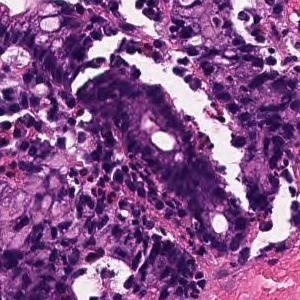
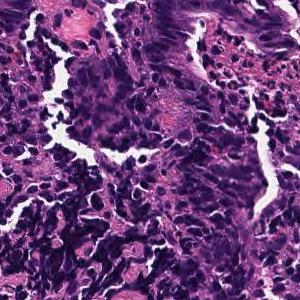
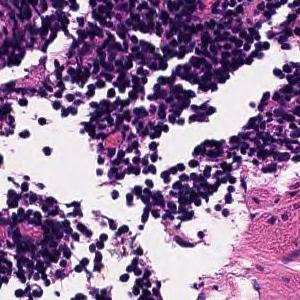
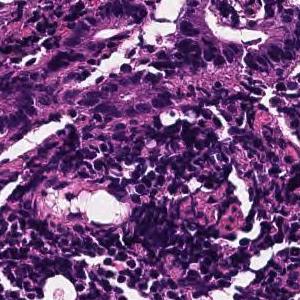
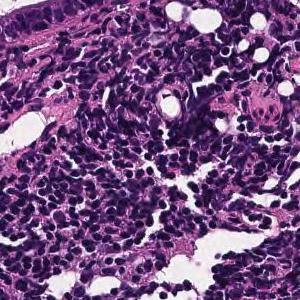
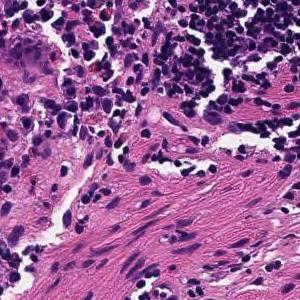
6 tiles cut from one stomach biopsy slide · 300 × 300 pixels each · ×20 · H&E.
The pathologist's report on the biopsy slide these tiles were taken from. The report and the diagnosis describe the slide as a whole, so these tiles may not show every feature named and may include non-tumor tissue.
In the superficial epithelium, tumor tissue that invades by forming medium-sized to small, irregular ducts is observed. moderately differentiated tubular adenocarcinoma.
